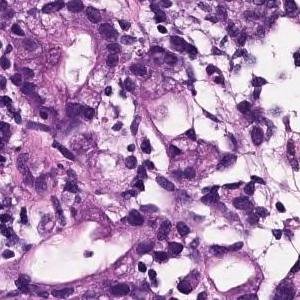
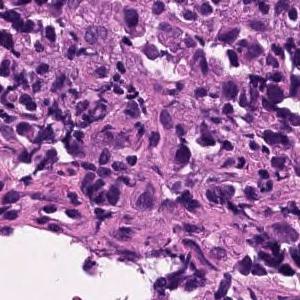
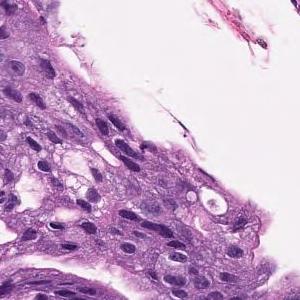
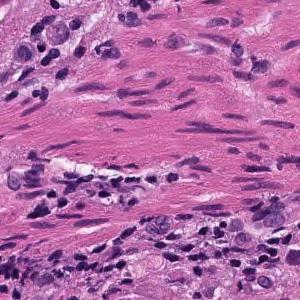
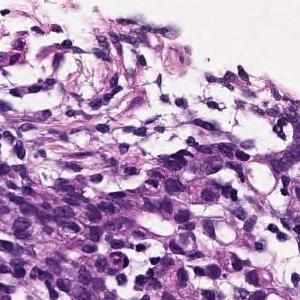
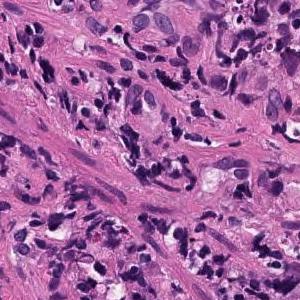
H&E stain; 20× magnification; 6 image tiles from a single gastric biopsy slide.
Report on the slide these tiles come from. The report and the diagnosis cover the entire slide, so not every feature they name need be visible here, and some tissue shown may not be tumor.
Atypical epithelium forms irregularly fused gland ducts and proliferates. Poorly differentiated adenocarcinoma.
Tumor subtype: poorly differentiated adenocarcinoma, non-solid type.
The term "non-solid type" comes from the Japanese Classification of Gastric Carcinoma.
